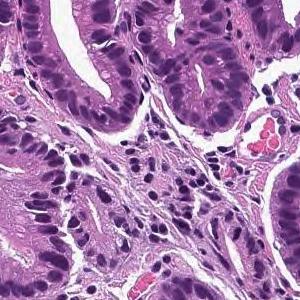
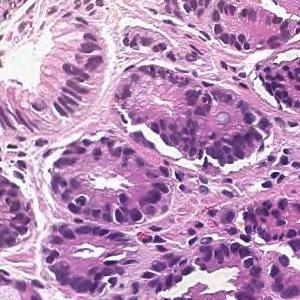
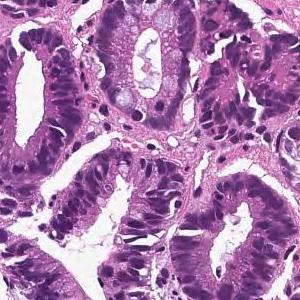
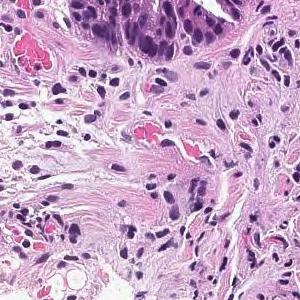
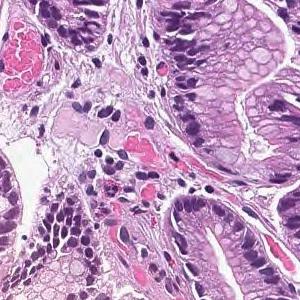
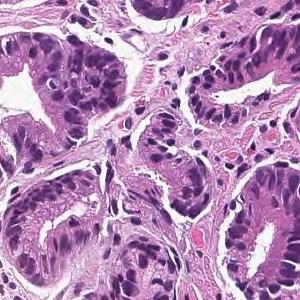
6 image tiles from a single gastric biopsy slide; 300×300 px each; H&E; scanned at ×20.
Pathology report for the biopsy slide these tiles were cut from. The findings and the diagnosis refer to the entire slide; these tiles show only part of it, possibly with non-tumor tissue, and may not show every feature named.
From the superficial epithelium to the muscularis mucosae, tumor tissue consisting of medium-sized and irregular glandular ducts infiltrating is observed. Well differentiated tubular adenocarcinoma
